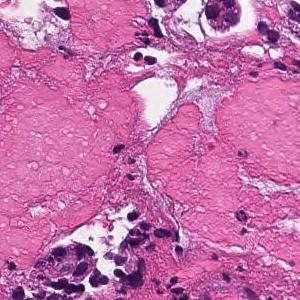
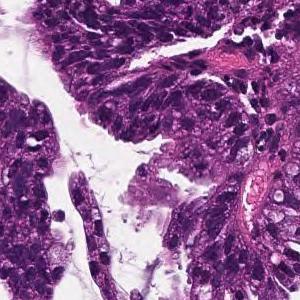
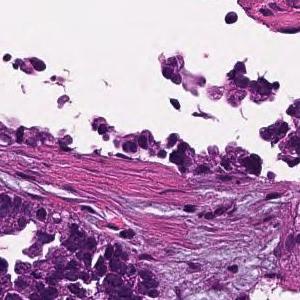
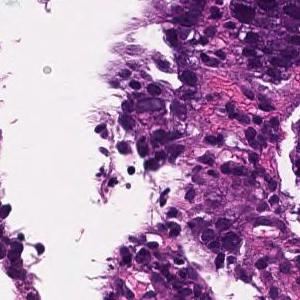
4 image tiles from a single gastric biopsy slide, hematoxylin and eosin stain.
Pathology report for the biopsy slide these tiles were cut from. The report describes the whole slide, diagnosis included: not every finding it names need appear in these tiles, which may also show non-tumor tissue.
Tumor cells are large, highly columnar, large club-shaped nuclei, and are associated with chromatin aggregation. Papillary adenocarcinoma.
